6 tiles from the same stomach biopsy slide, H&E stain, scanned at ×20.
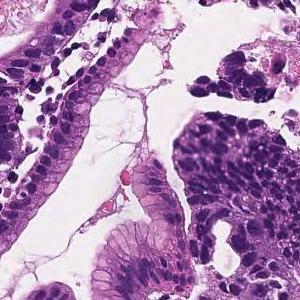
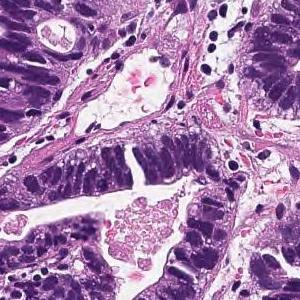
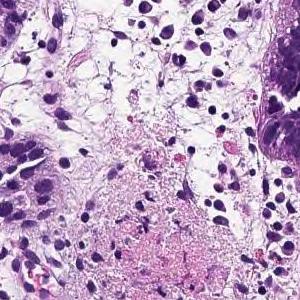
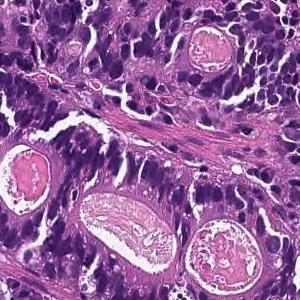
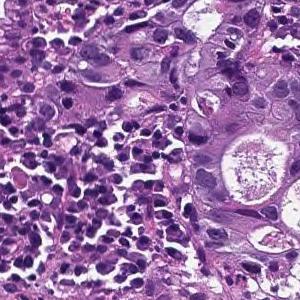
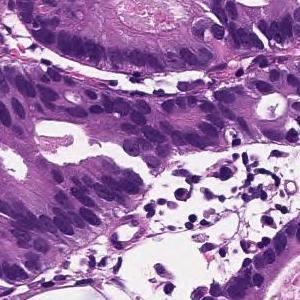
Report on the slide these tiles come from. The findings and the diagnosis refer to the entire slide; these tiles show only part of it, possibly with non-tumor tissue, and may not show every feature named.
In the superficial epithelium, tumor tissue that invades by forming medium-sized to small, irregular ducts is observed. moderately differentiated tubular adenocarcinoma.
